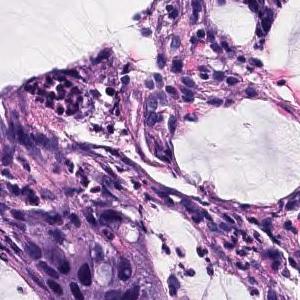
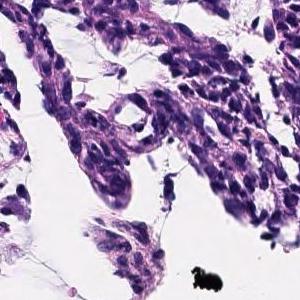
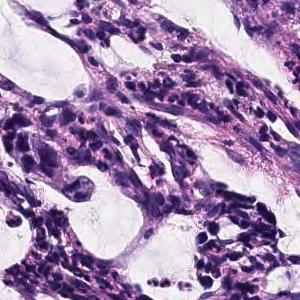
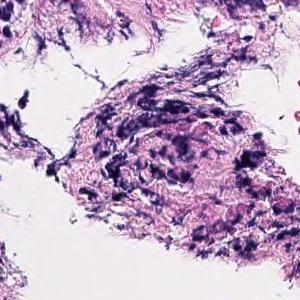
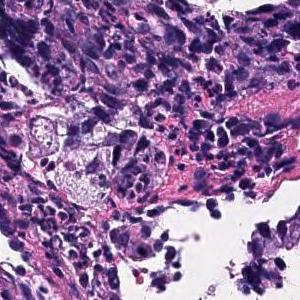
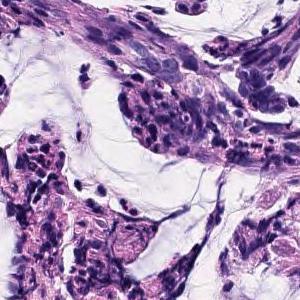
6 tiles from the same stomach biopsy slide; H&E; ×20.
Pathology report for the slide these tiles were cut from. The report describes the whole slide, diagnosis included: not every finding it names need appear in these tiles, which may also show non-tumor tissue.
The superficial epithelium shows small cord-like infiltrating tumor tissue. Some part of neoplastic cells are signet ring cell type which show single invasion manner. Poorly differentiated adenocarcinoma, non-solid type.
The term "non-solid type" comes from the Japanese Classification of Gastric Carcinoma.
